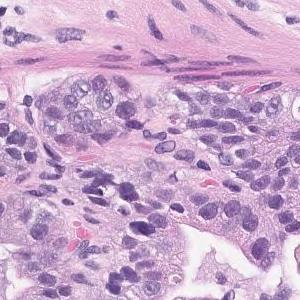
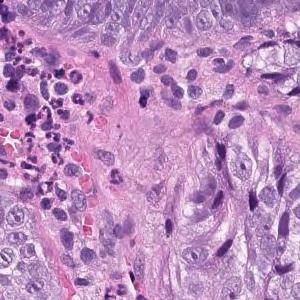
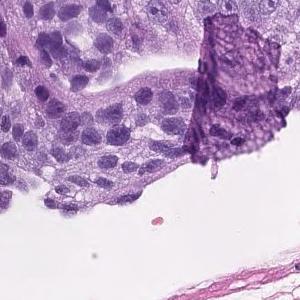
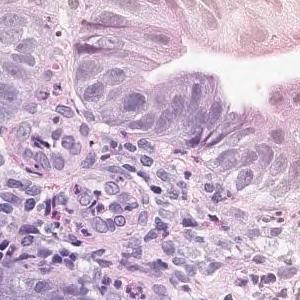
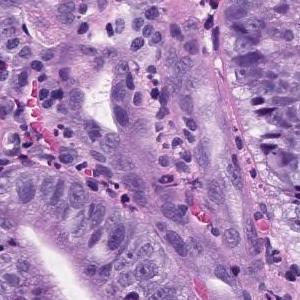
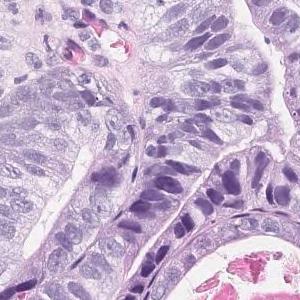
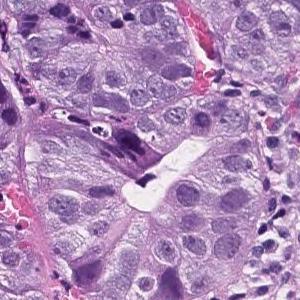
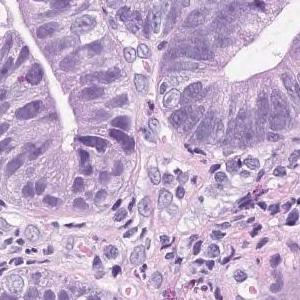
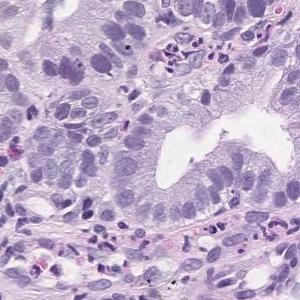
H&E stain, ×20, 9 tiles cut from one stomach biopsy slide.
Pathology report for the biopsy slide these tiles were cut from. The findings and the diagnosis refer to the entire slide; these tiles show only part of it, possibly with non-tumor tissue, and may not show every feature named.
On the superficial epithelium, tumor tissue consisting of medium to small irregular tubules partially fused and proliferated is observed. moderately differentiated tubular adenocarcinoma
